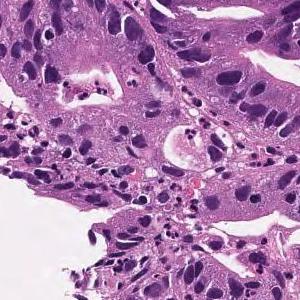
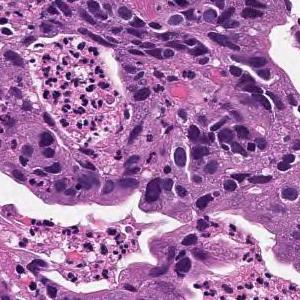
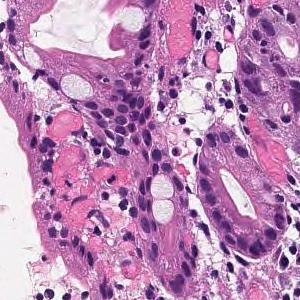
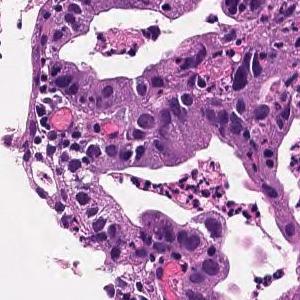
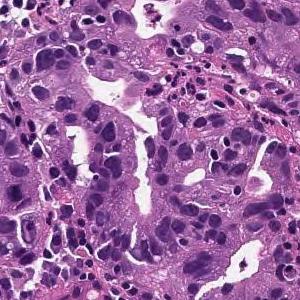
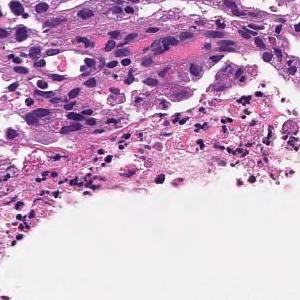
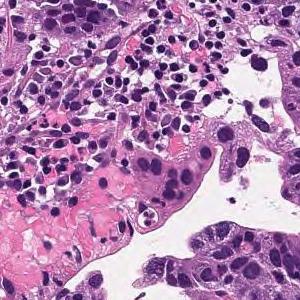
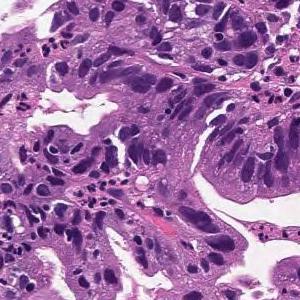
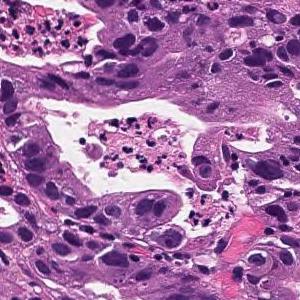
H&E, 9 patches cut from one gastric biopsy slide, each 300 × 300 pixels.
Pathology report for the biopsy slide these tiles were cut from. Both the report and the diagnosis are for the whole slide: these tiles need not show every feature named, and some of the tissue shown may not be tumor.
From the superficial epithelium to the muscularis mucosae, tumor tissue consisting of medium-sized and irregular glandular ducts infiltrating is observed. Well differentiated tubular adenocarcinoma
